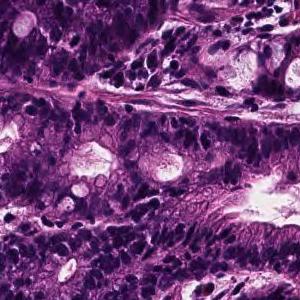
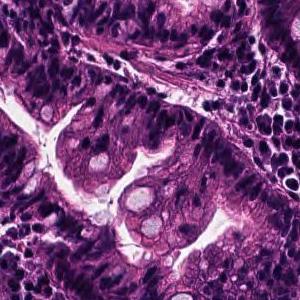
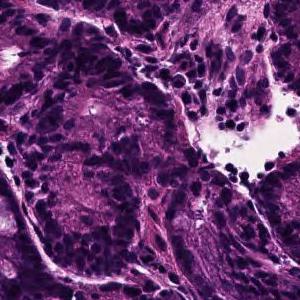
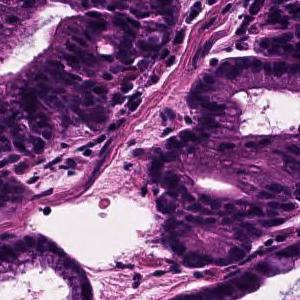
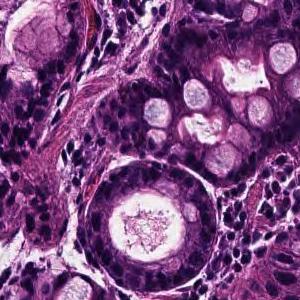
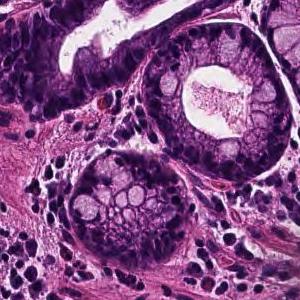
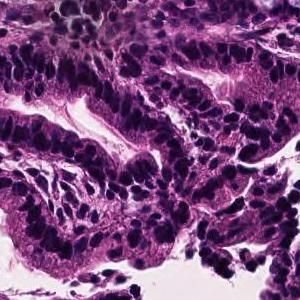
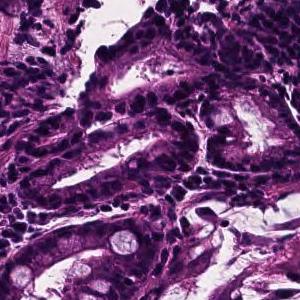
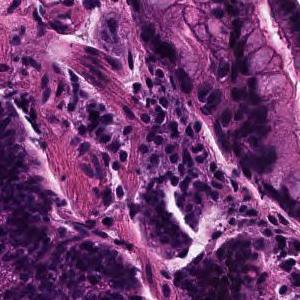
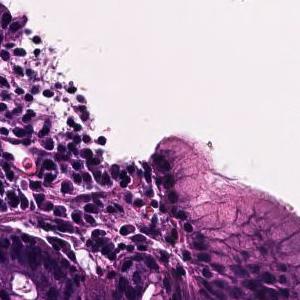
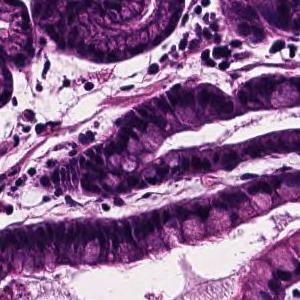
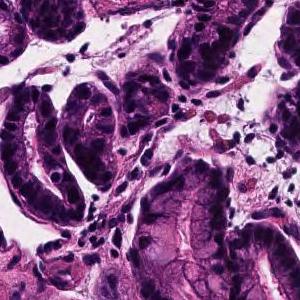
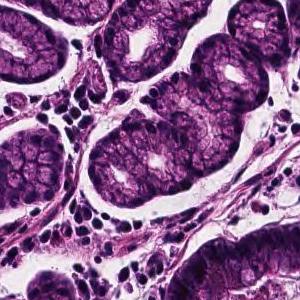
13 tiles cut from one stomach biopsy slide; hematoxylin and eosin stain; scanned at ×20.
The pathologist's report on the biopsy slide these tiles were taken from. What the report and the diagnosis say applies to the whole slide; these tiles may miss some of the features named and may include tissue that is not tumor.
In the superficial epithelium, tumor tissue infiltrated by partial fusion of medium-sized to small, irregular glandular ducts is observed. moderately differentiated tubular adenocarcinoma
